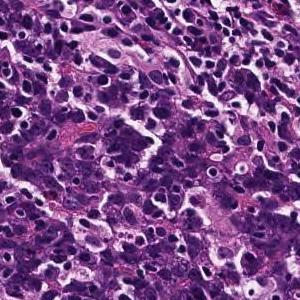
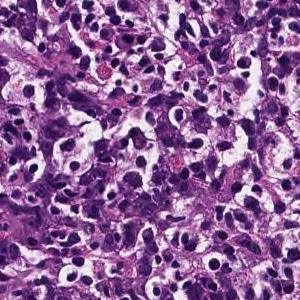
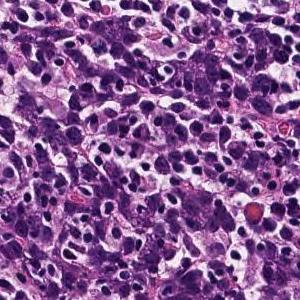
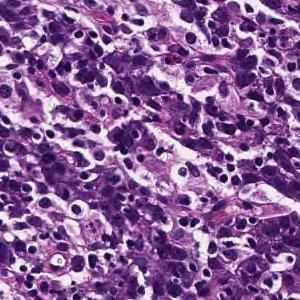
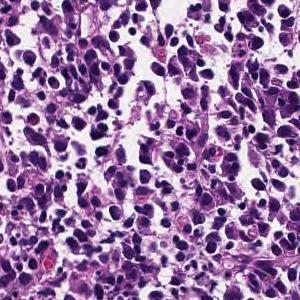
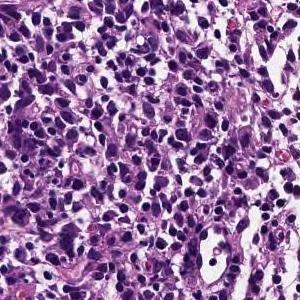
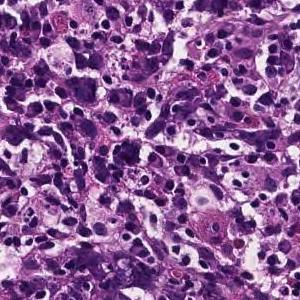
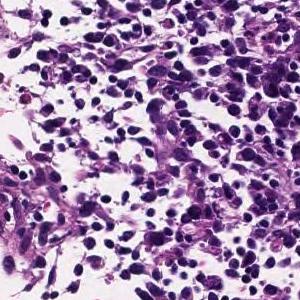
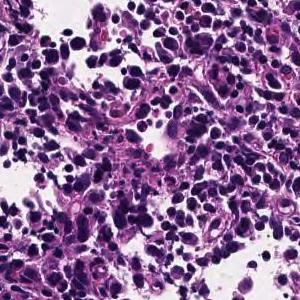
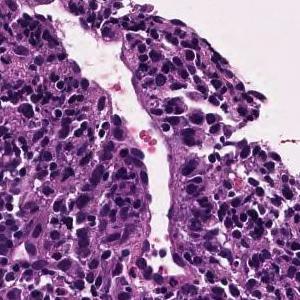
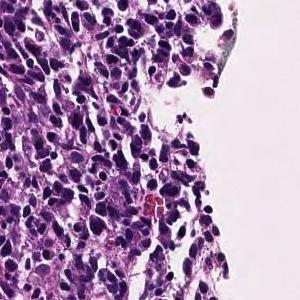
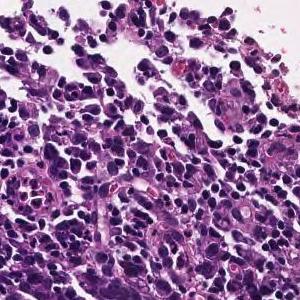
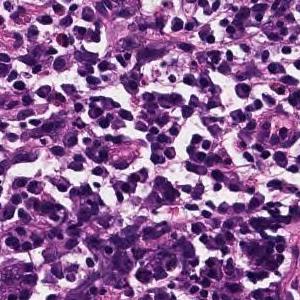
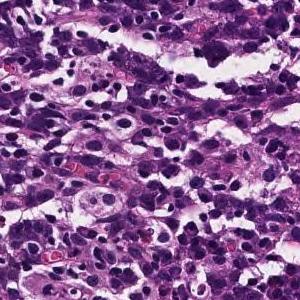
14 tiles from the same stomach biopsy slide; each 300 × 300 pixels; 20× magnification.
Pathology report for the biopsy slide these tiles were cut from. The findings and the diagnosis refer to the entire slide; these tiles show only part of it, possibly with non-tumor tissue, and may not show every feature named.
Tumor tissue consisting of cord-like or small, irregular glandular ducts fused and infiltrated is observed in the superficial epithelium. Poorly differentiated adenocarcinoma, non-solid type
The term "non-solid type" comes from the Japanese Classification of Gastric Carcinoma.
